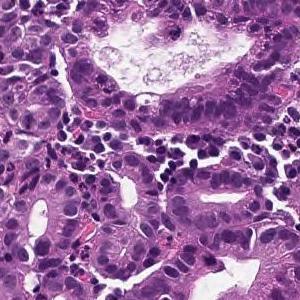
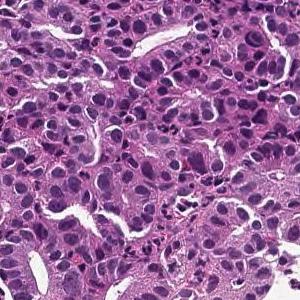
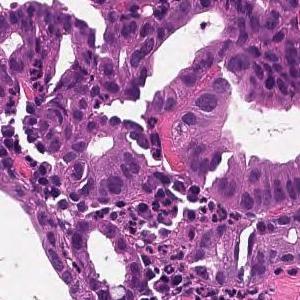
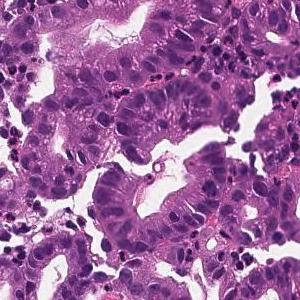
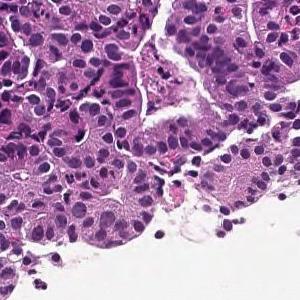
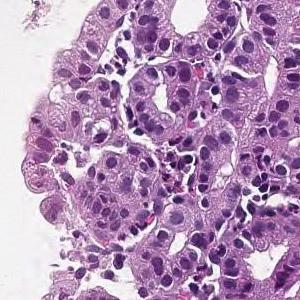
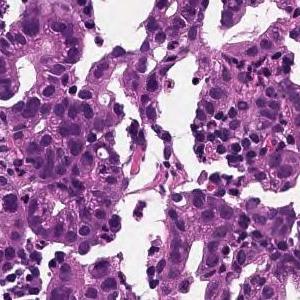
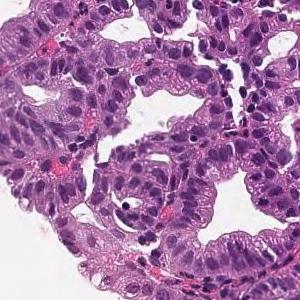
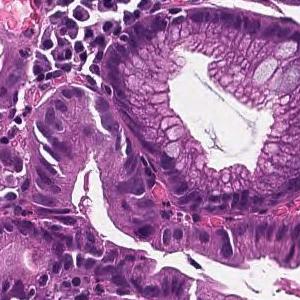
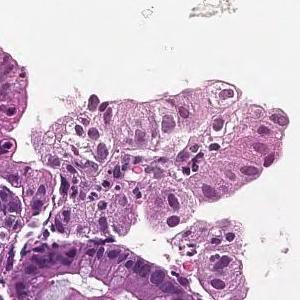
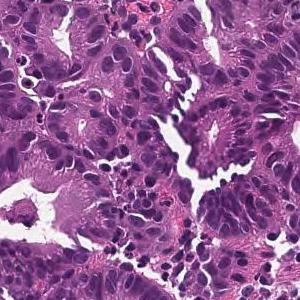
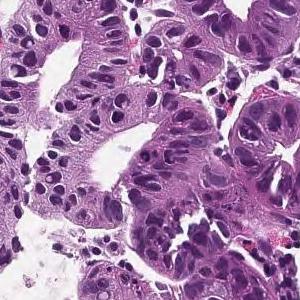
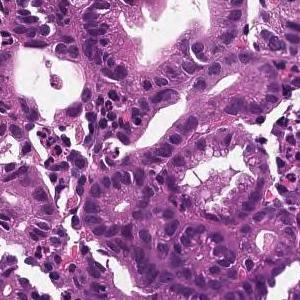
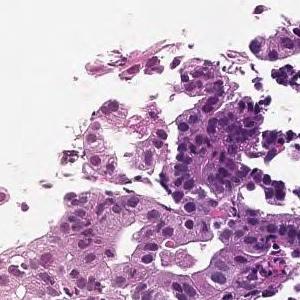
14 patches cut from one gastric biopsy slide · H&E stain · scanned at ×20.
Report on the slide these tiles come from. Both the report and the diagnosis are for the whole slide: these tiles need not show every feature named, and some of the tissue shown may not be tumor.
From the superficial epithelium to the muscularis mucosae, tumor tissue consisting of medium-sized and irregular glandular ducts infiltrating is observed. Well differentiated tubular adenocarcinoma
